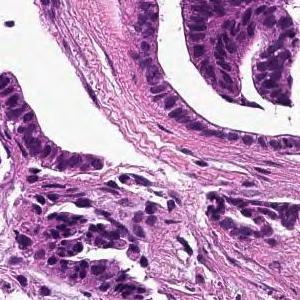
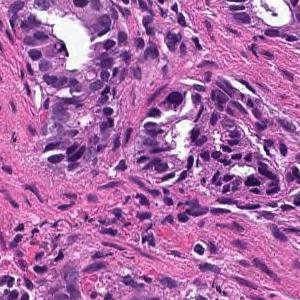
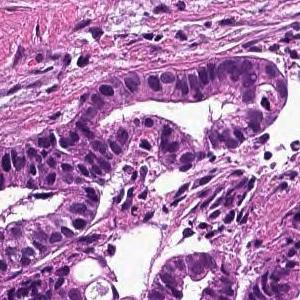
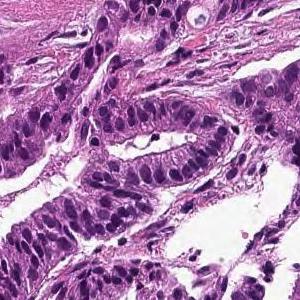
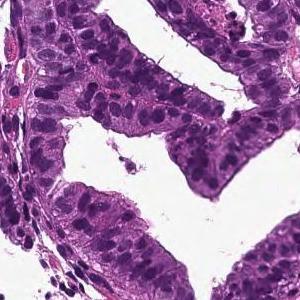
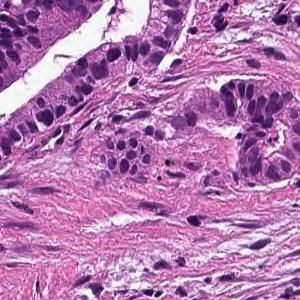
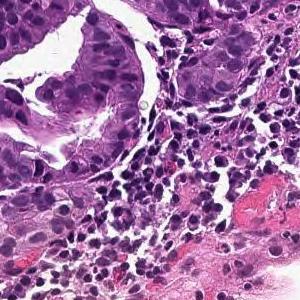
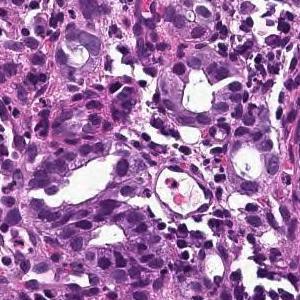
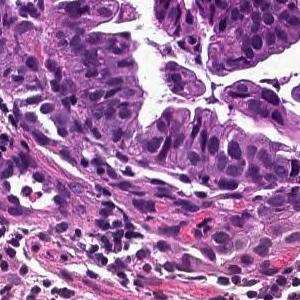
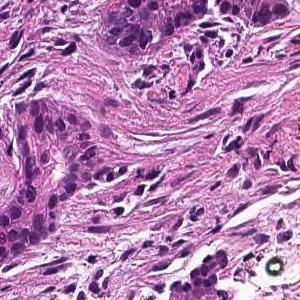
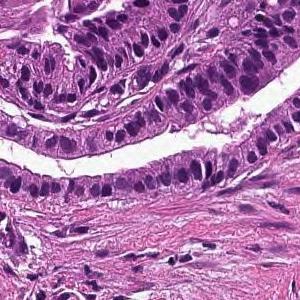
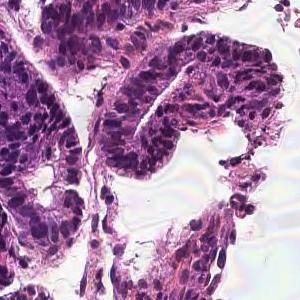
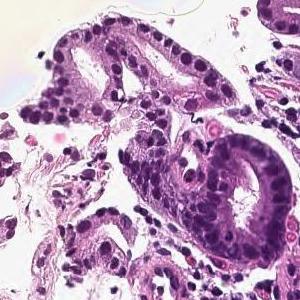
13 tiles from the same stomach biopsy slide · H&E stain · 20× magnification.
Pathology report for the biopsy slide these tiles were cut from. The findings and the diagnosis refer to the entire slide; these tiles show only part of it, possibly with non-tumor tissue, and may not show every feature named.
Tumor cells are large, highly columnar, large club-shaped nuclei, and are associated with chromatin aggregation. Papillary adenocarcinoma.
